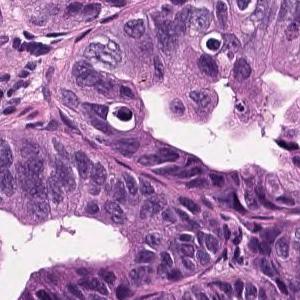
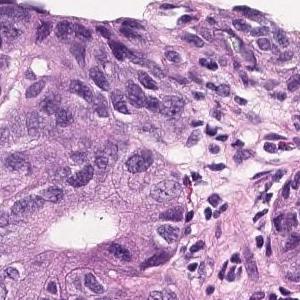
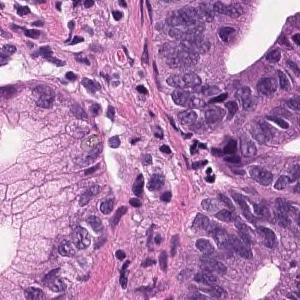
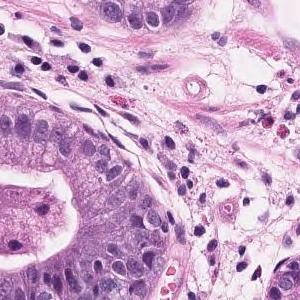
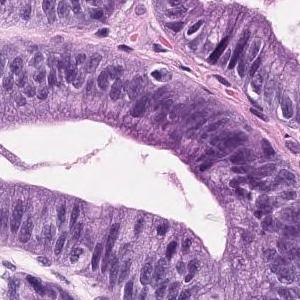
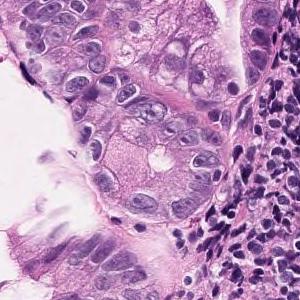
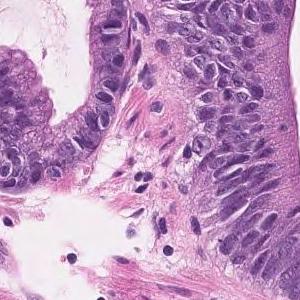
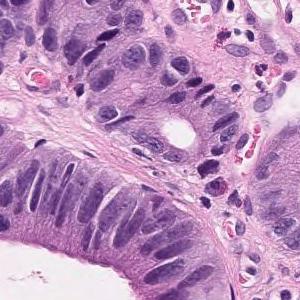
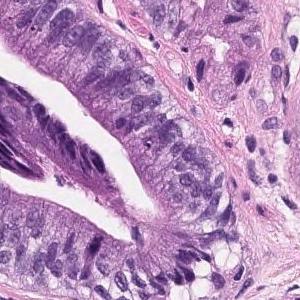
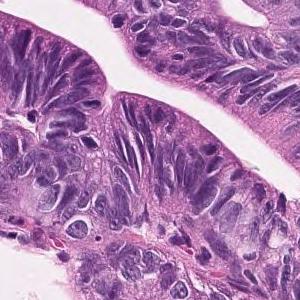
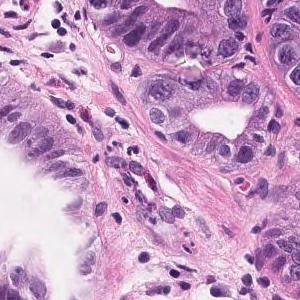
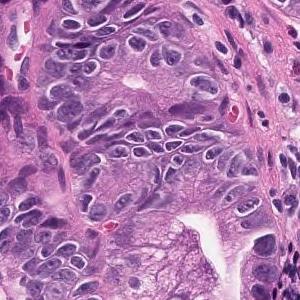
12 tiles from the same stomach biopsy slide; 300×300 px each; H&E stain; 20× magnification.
Pathology report for the slide these tiles were cut from. What the report and the diagnosis say applies to the whole slide; these tiles may miss some of the features named and may include tissue that is not tumor.
Atypical ducts that branch intricately are observed. Well differentiated tubular adenocarcinoma
